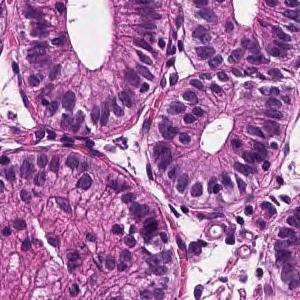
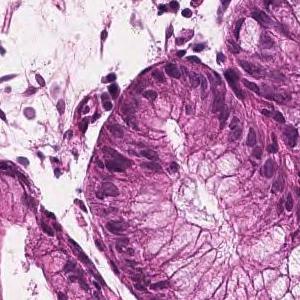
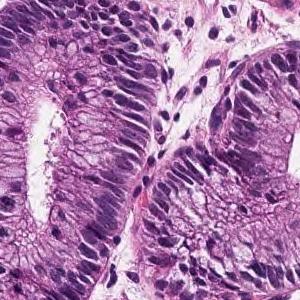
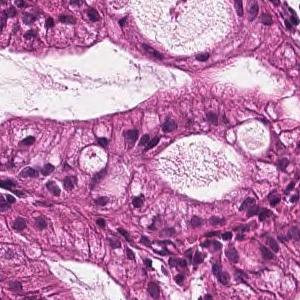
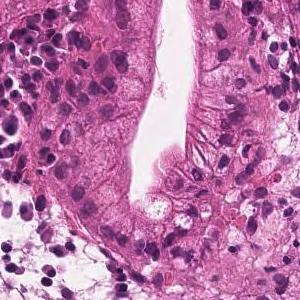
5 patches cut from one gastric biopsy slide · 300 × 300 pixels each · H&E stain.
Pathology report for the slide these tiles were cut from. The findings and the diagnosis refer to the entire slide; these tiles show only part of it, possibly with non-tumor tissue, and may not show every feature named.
In the superficial epithelium, tumor tissue that invades by forming medium-sized to small, irregular ducts is observed. Well differentiated tubular adenocarcinoma.
